10 tiles from the same stomach biopsy slide, scanned at ×20.
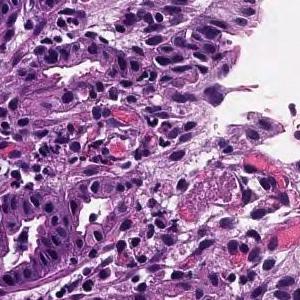
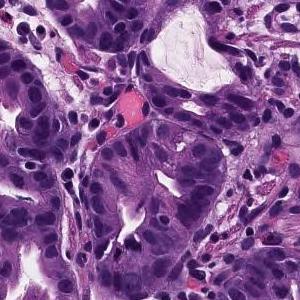
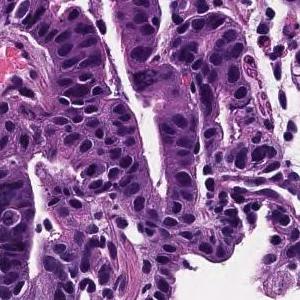
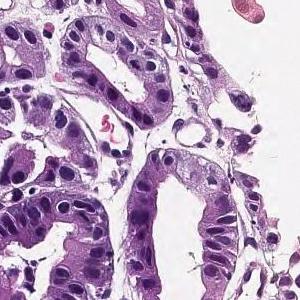
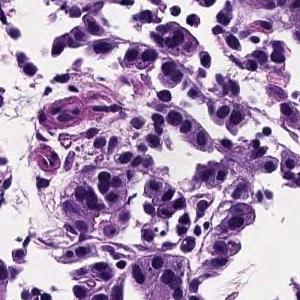
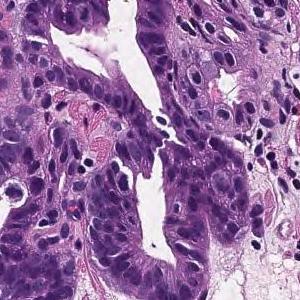
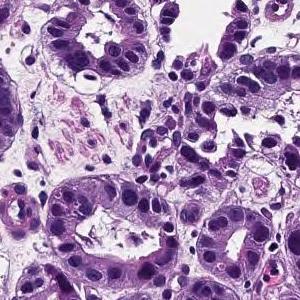
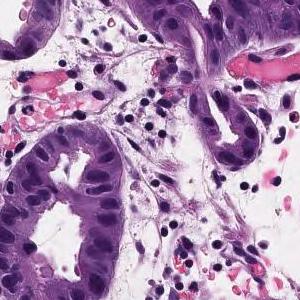
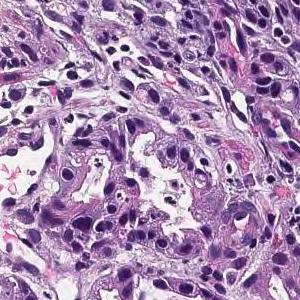
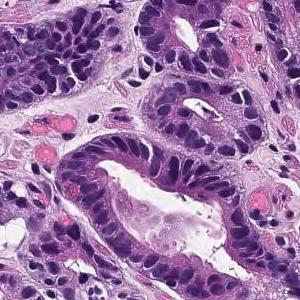
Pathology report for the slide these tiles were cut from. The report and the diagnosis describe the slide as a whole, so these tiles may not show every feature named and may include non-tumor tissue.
From the superficial epithelium to the muscularis mucosae, tumor tissue consisting of medium-sized and irregular glandular ducts infiltrating is observed. Well differentiated tubular adenocarcinoma
